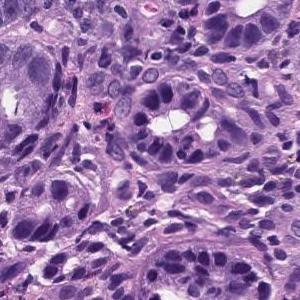
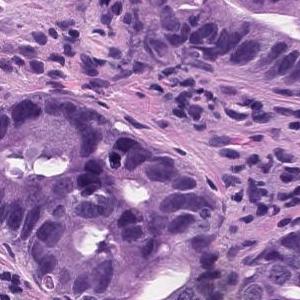
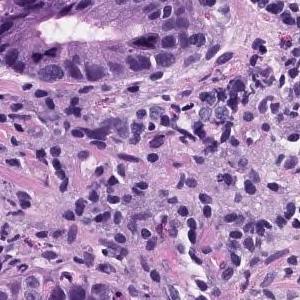
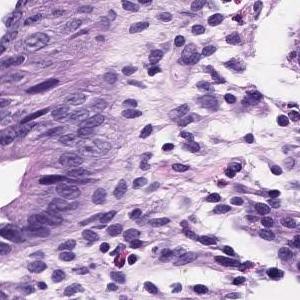
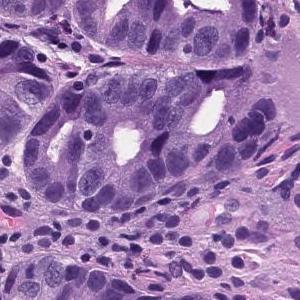
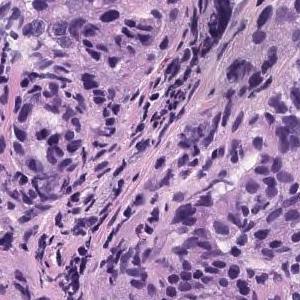
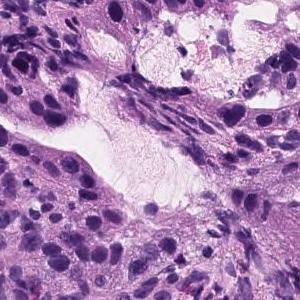
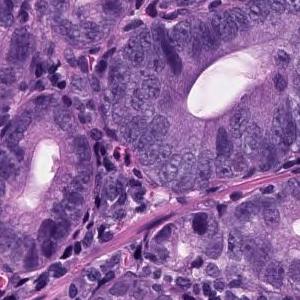
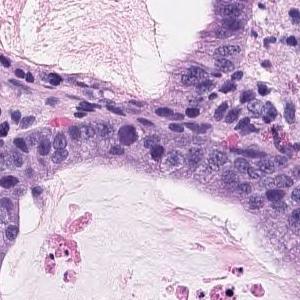
9 patches cut from one gastric biopsy slide · 300 × 300 pixels each · H&E stain · scanned at ×20.
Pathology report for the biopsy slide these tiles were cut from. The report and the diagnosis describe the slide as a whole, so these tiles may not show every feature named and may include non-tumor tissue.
Tumor tissue consisting of medium-sized and irregular ducts is observed infiltrating in the superficial epithelium. Tumor cells are highly columnar, with nuclei aligned basolaterally and polarized. Well differentiated tubular adenocarcinoma.
